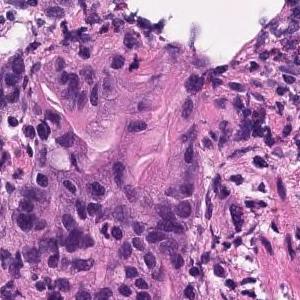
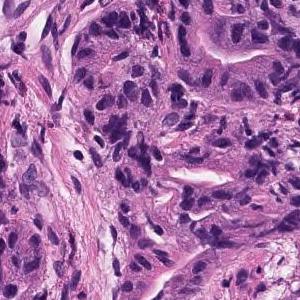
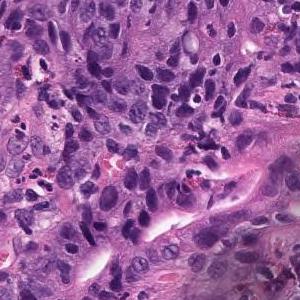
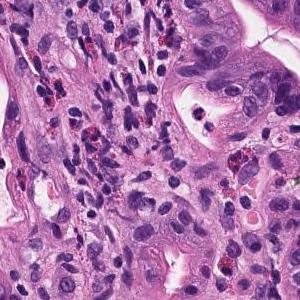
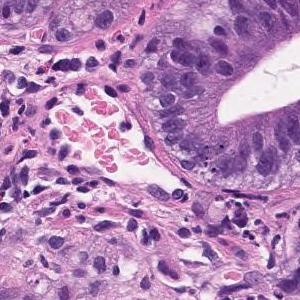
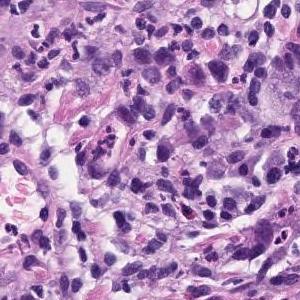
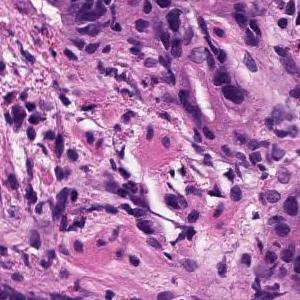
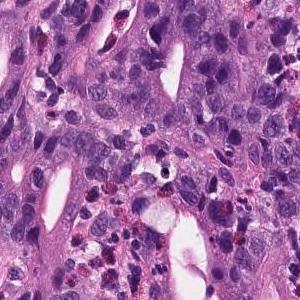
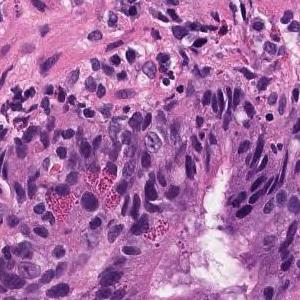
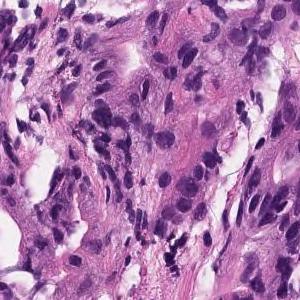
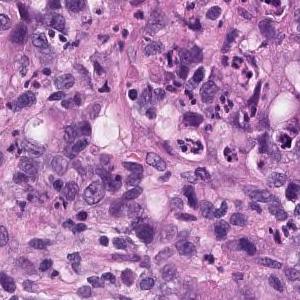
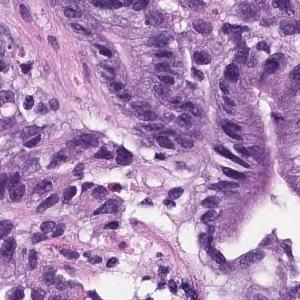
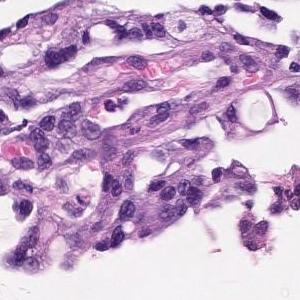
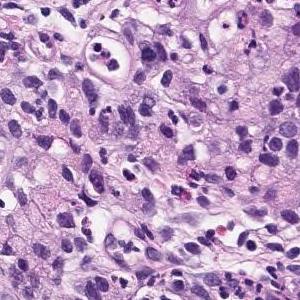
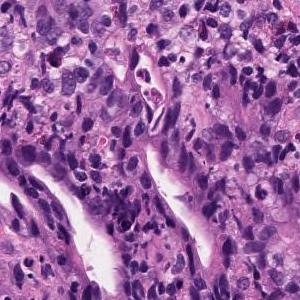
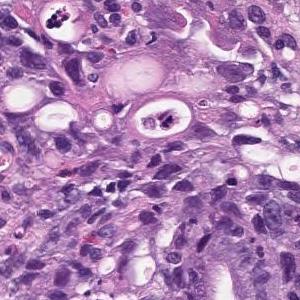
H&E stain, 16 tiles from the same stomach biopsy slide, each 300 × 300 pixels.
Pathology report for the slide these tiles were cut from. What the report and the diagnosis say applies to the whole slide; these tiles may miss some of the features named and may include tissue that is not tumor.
moderately differentiated tubular adenocarcinoma, Poorly differentiated adenocarcinoma
Dataset label: poorly differentiated adenocarcinoma, solid type (Japanese Classification of Gastric Carcinoma). The WHO 2019 equivalent is tubular adenocarcinoma, poorly differentiated.
